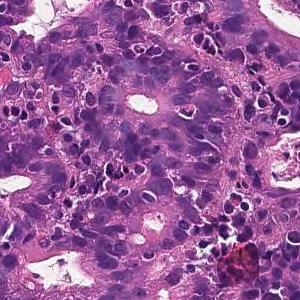
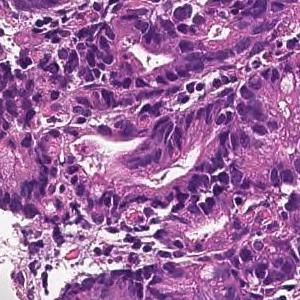
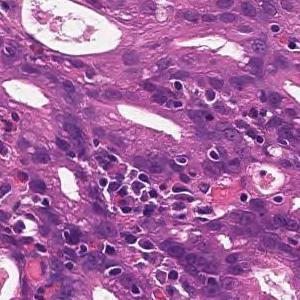
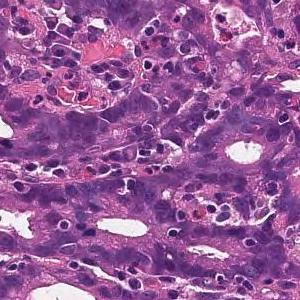
4 tiles cut from one stomach biopsy slide, each 300 × 300 pixels, H&E stain, ×20.
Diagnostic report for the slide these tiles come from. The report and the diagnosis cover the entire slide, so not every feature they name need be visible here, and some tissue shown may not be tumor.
From the superficial epithelium to the muscularis mucosae, tumor tissue consisting of medium-sized and irregular glandular ducts infiltrating is observed. Well differentiated tubular adenocarcinoma
